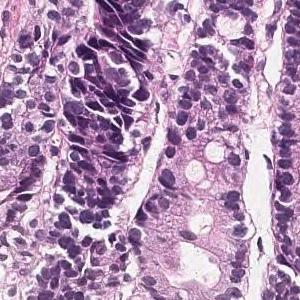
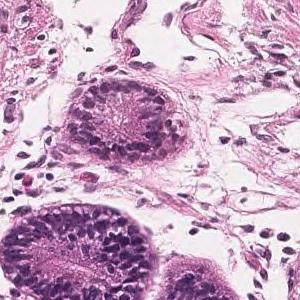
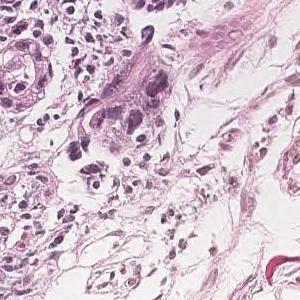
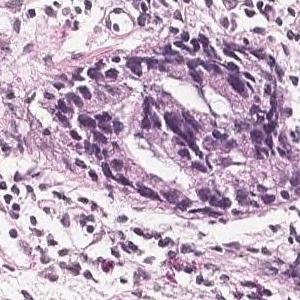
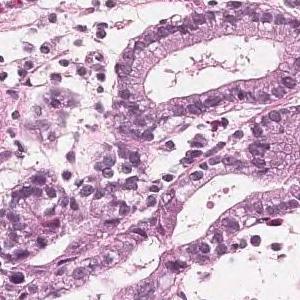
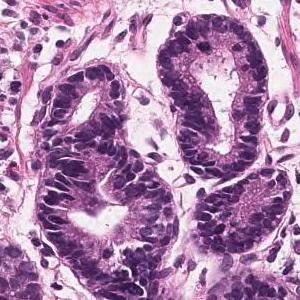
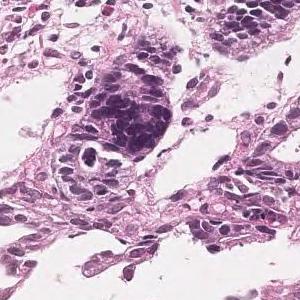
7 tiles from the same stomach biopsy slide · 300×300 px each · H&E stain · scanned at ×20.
Report on the slide these tiles come from. The findings and the diagnosis refer to the entire slide; these tiles show only part of it, possibly with non-tumor tissue, and may not show every feature named.
Most of the tumor remains in the epithelium and shows a medium-sized circular system or irregular ducts, showing proliferating and developing tumor tissue. Well differentiated tubular adenocarcinoma
